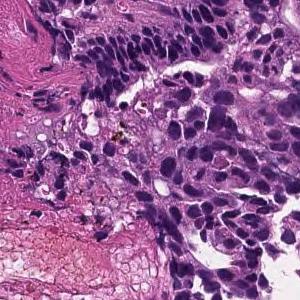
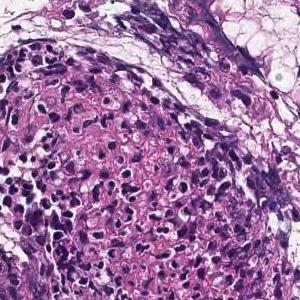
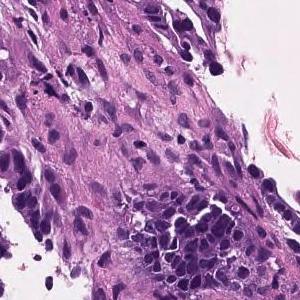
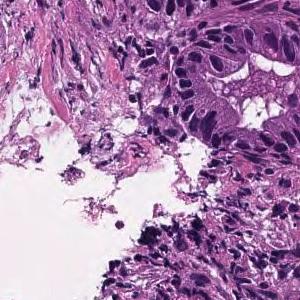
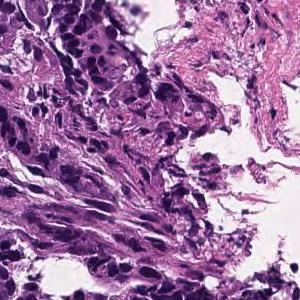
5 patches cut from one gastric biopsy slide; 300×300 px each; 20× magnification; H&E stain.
Pathology report for the biopsy slide these tiles were cut from. What the report and the diagnosis say applies to the whole slide; these tiles may miss some of the features named and may include tissue that is not tumor.
Tumor cells are large, highly columnar, large club-shaped nuclei, and are associated with chromatin aggregation. Papillary adenocarcinoma.
